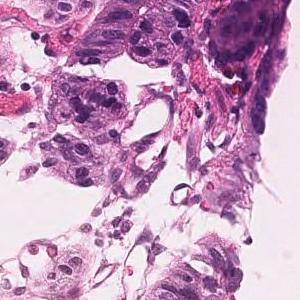
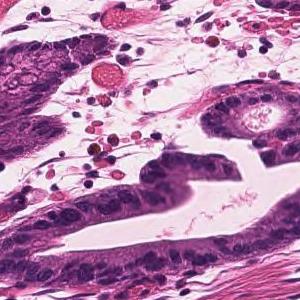
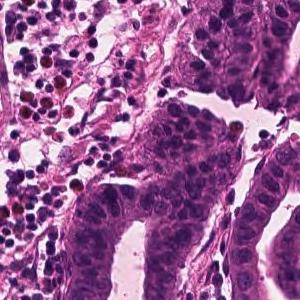
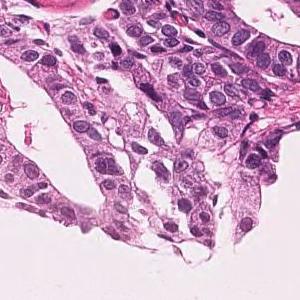
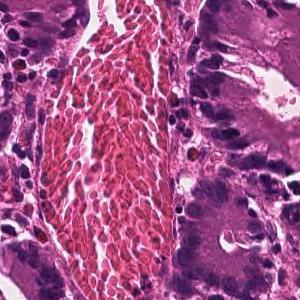
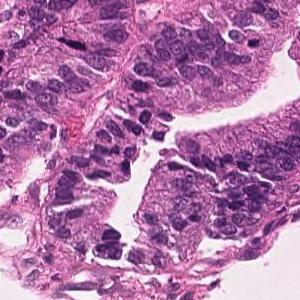
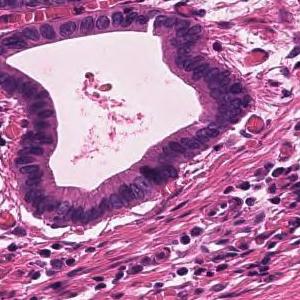
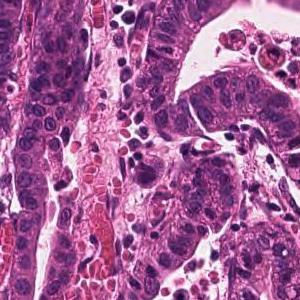
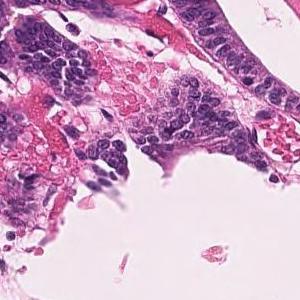
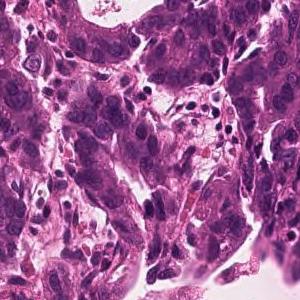
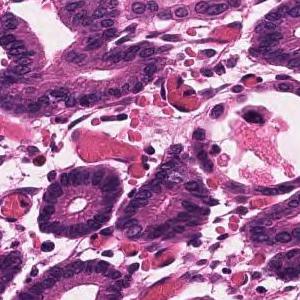
20× magnification; H&E stain; 11 image tiles from a single gastric biopsy slide; each 300 × 300 pixels.
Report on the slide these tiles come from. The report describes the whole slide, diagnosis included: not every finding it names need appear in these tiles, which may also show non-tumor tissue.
Infiltrating tumor tissue with medium-sized, irregular ductal structure or large papillary appearance is observed. Well differentiated tubular adenocarcinoma
